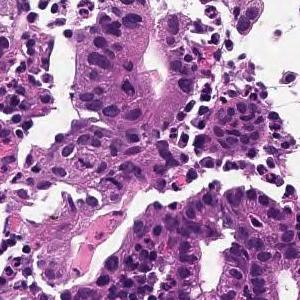
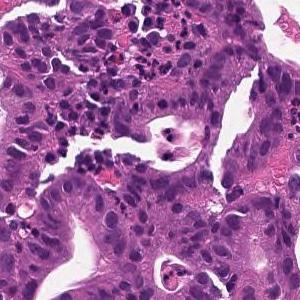
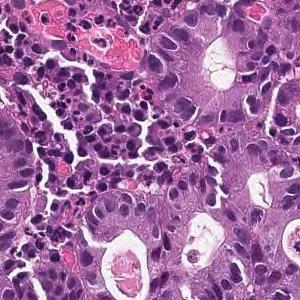
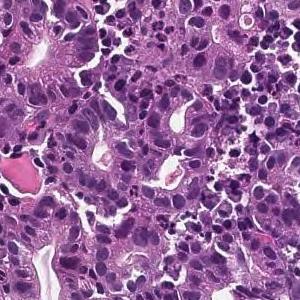
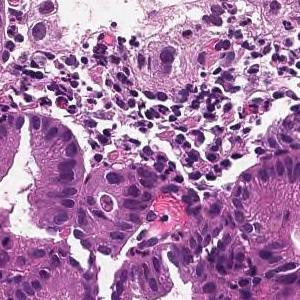
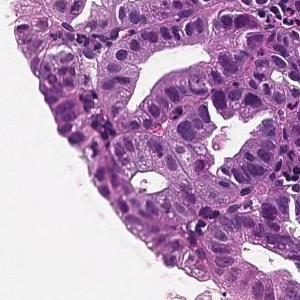
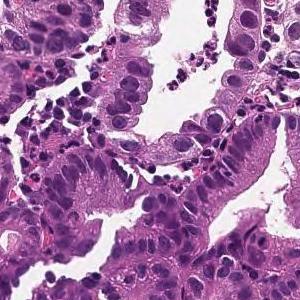
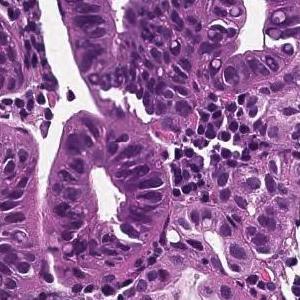
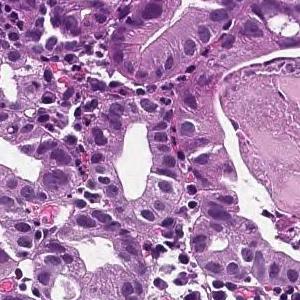
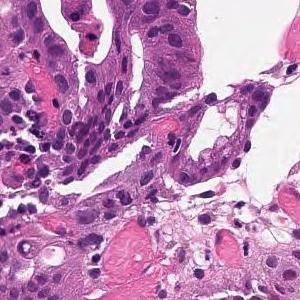
10 patches cut from one gastric biopsy slide · 300×300 px each · scanned at ×20 · H&E stain.
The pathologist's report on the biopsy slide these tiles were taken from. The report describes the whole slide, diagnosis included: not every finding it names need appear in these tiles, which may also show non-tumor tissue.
From the superficial epithelium to the muscularis mucosae, tumor tissue consisting of medium-sized and irregular glandular ducts infiltrating is observed. Well differentiated tubular adenocarcinoma
